15 tiles from the same stomach biopsy slide.
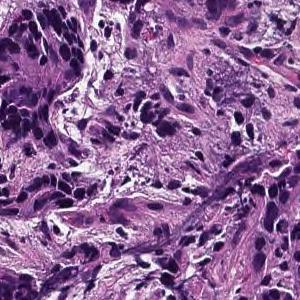
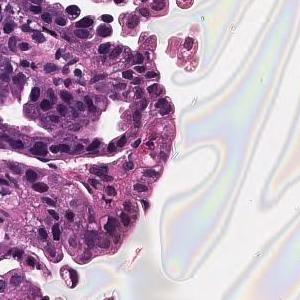
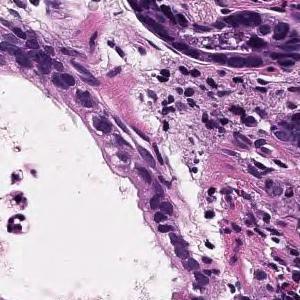
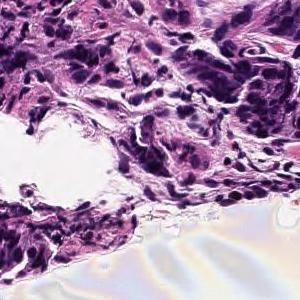
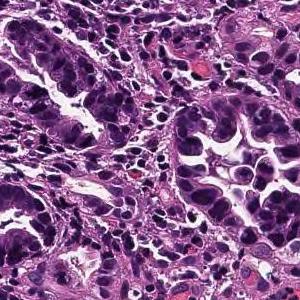
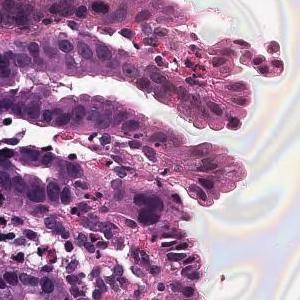
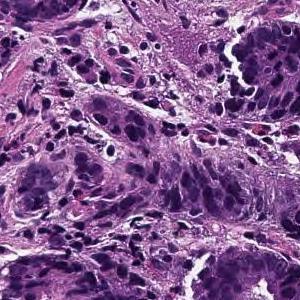
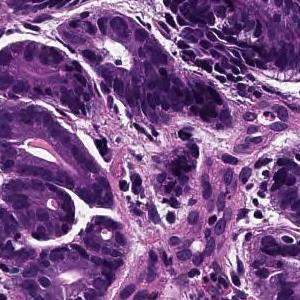
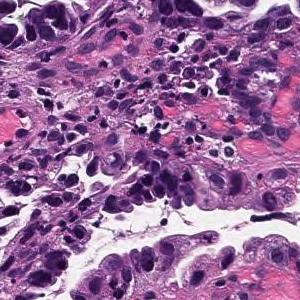
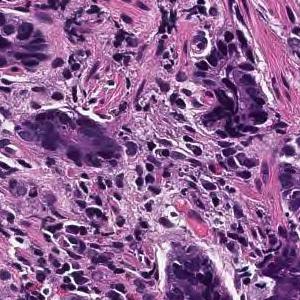
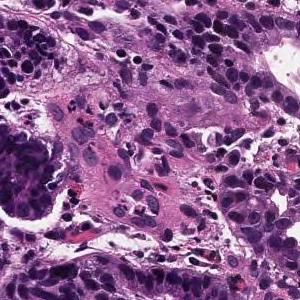
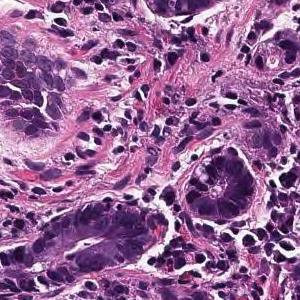
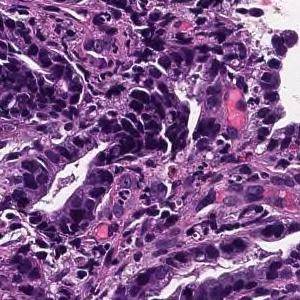
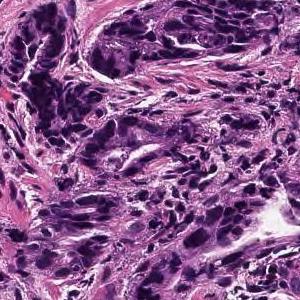
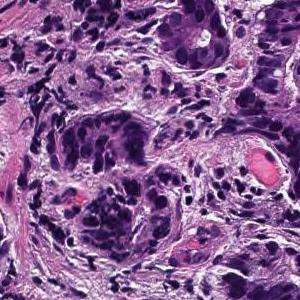
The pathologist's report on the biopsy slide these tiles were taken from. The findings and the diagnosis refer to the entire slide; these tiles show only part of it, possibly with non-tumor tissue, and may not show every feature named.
From the superficial epithelium to the muscularis mucosae, tumor tissue consisting of medium-sized and irregular glandular ducts infiltrating is observed. Well differentiated tubular adenocarcinoma
